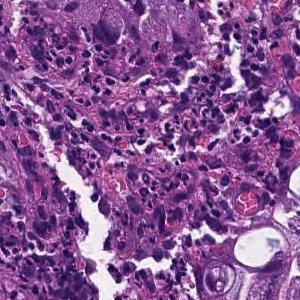
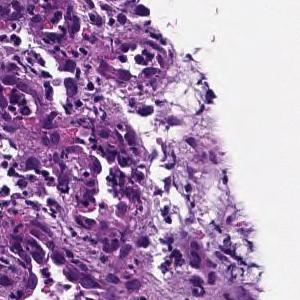
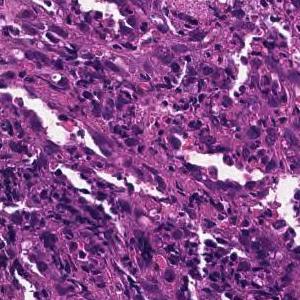
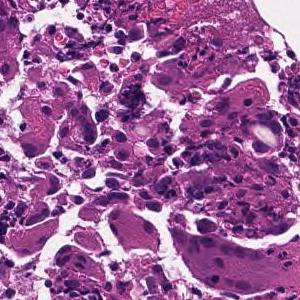
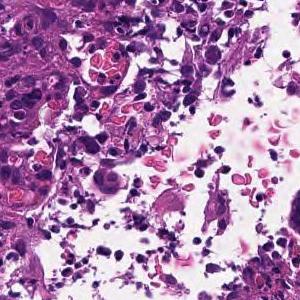
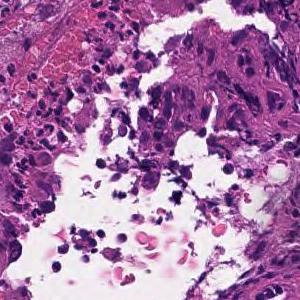
Scanned at ×20 · hematoxylin and eosin stain · 6 patches cut from one gastric biopsy slide.
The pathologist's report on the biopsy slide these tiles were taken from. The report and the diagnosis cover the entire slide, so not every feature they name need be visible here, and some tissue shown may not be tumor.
Tumor cells are medium to large, cuboidal, and have little tendency to differentiate. Poorly differentiated adenocarcinoma, solid-type  or moderately differentiated tubular adenocarcinoma
Dataset label: poorly differentiated adenocarcinoma, solid type. This name comes from the Japanese Classification of Gastric Carcinoma; the WHO 2019 classification calls it tubular adenocarcinoma, poorly differentiated.
